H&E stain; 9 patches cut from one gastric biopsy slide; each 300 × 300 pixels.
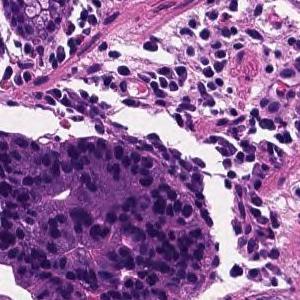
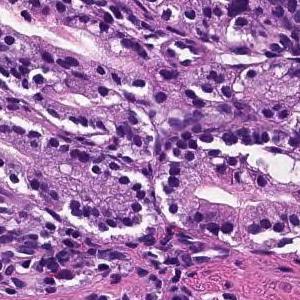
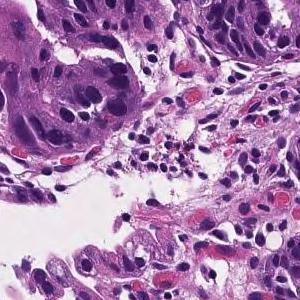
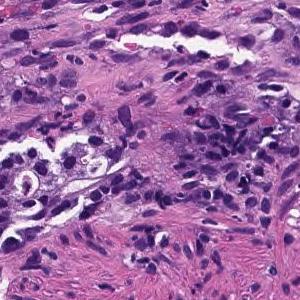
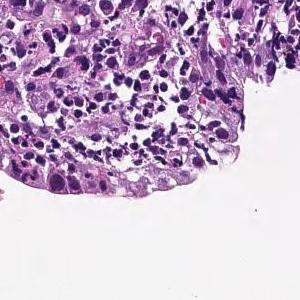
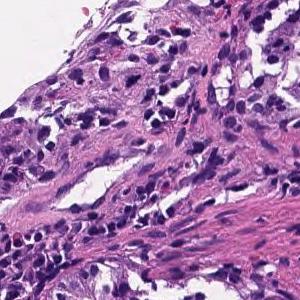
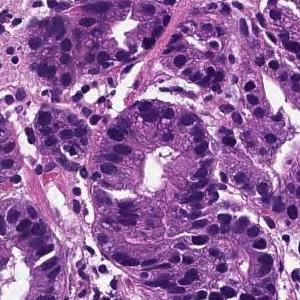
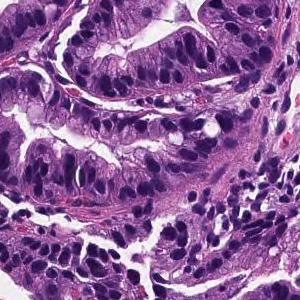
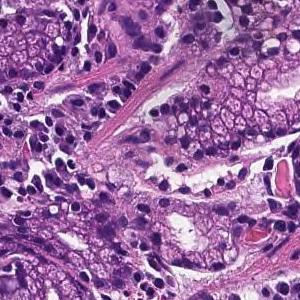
The pathologist's report on the biopsy slide these tiles were taken from. Both the report and the diagnosis are for the whole slide: these tiles need not show every feature named, and some of the tissue shown may not be tumor.
From the superficial epithelium to the muscularis mucosae, tumor tissue consisting of medium-sized and irregular glandular ducts infiltrating is observed. Well differentiated tubular adenocarcinoma
